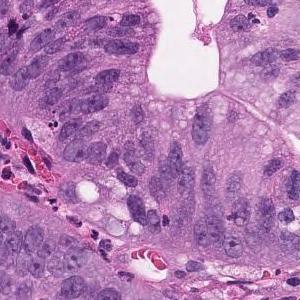
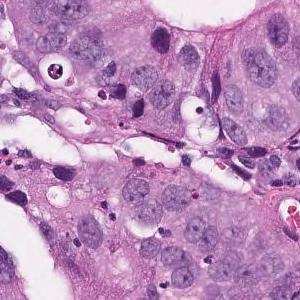
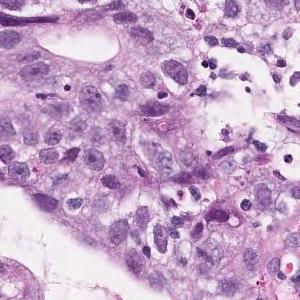
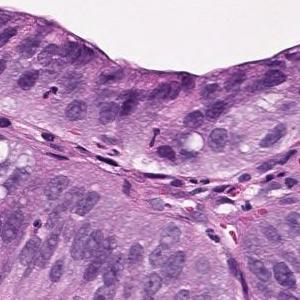
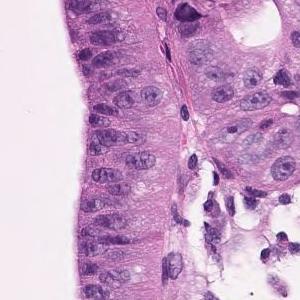
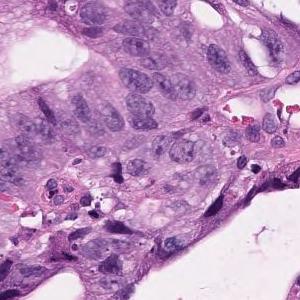
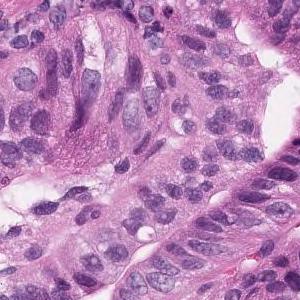
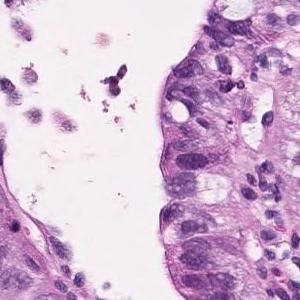
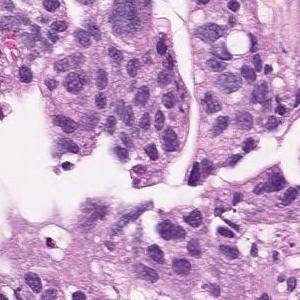
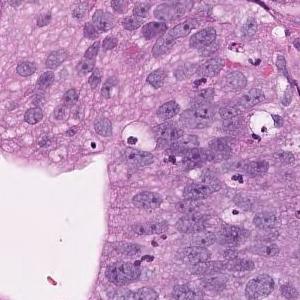
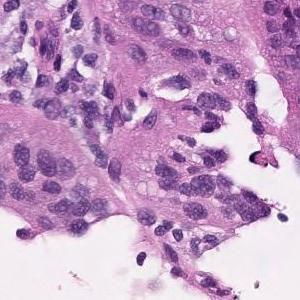
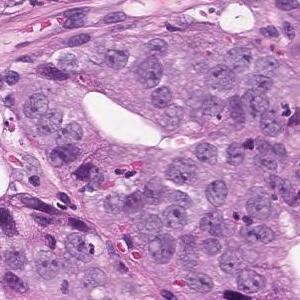
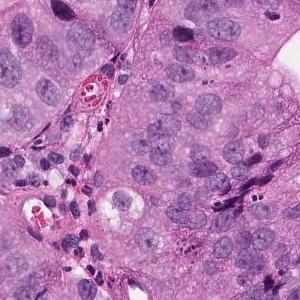
13 patches cut from one gastric biopsy slide, 300×300 px each, H&E stain, 20× magnification.
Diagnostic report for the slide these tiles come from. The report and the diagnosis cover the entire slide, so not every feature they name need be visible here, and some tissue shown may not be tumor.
On the superficial epithelium, tumor tissue consisting of medium to small irregular tubules partially fused and proliferated is observed. Well differentiated tubular adenocarcinoma
